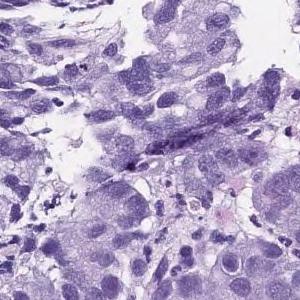
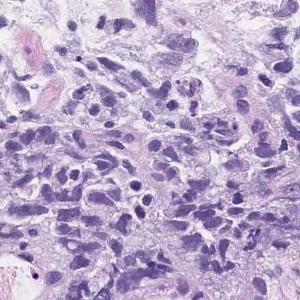
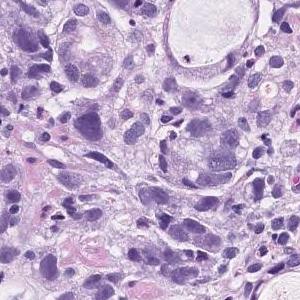
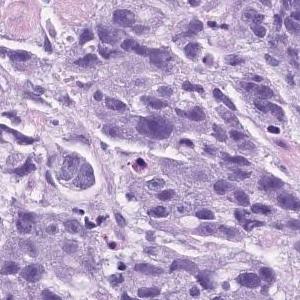
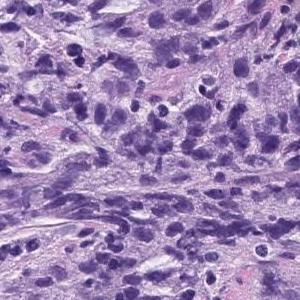
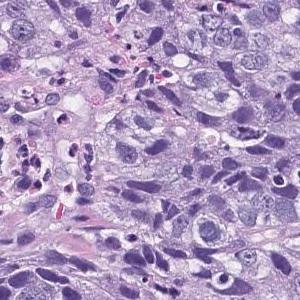
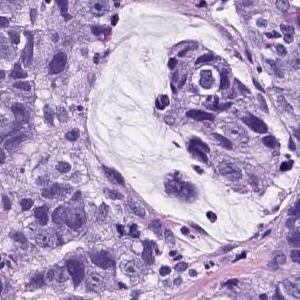
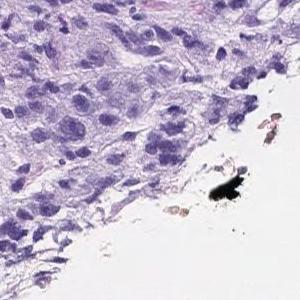
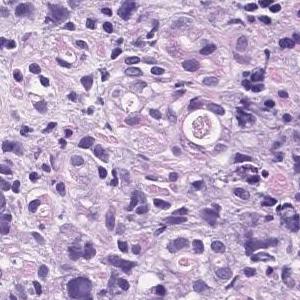
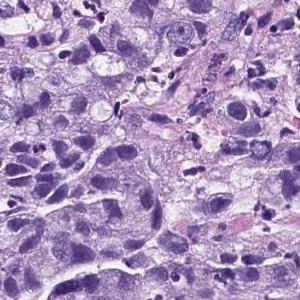
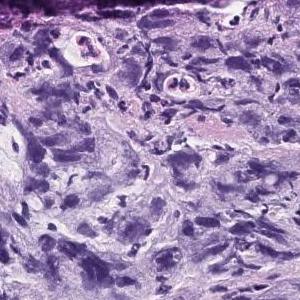
11 patches cut from one gastric biopsy slide; each 300 × 300 pixels; H&E stain.
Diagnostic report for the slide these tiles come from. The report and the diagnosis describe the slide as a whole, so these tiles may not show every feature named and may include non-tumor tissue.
Atypical l cells with atypical nuclei forming solid vesicles or small irregular atypical ducts that proliferate in a complex manner. poorly differentiated adenocarcinoma, solid type, moderately differentiated tubular adenocarcinoma
"Solid type" is a category of the Japanese Classification of Gastric Carcinoma; in the WHO 2019 classification it is tubular adenocarcinoma, poorly differentiated.
